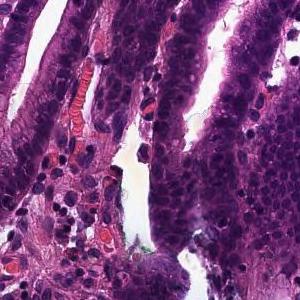
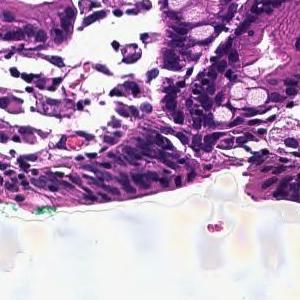
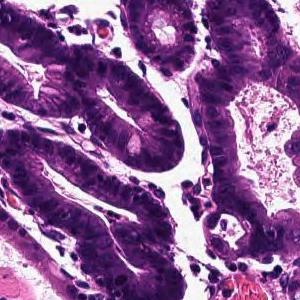
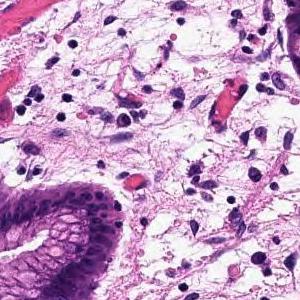
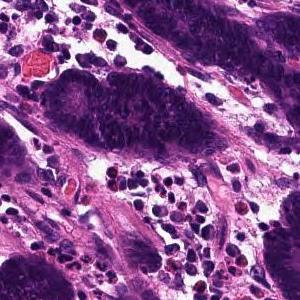
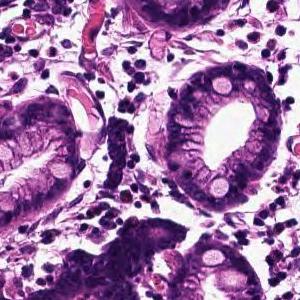
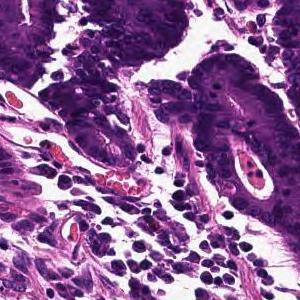
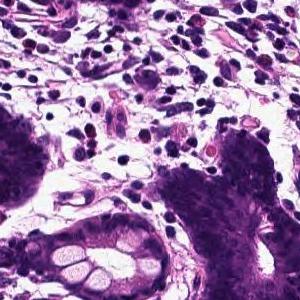
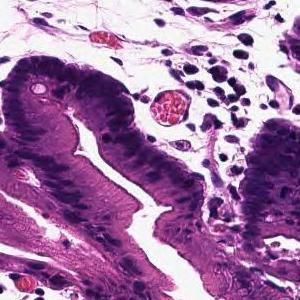
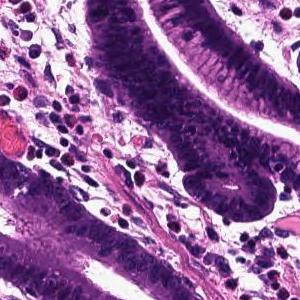
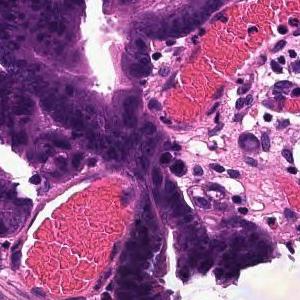
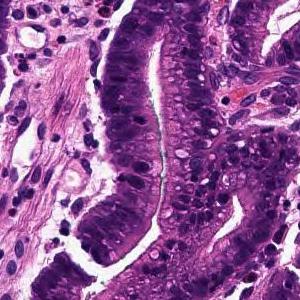
12 tiles from the same stomach biopsy slide · 300×300 px each · scanned at ×20 · H&E.
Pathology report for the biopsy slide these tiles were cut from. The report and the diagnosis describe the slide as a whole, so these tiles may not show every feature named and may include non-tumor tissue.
Tumor tissue that infiltrates by forming large papillary or large irregular glandular ducts is observed confined to the mucosa. Papillary adenocarcinoma
